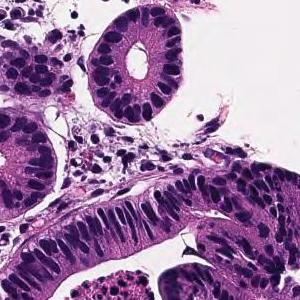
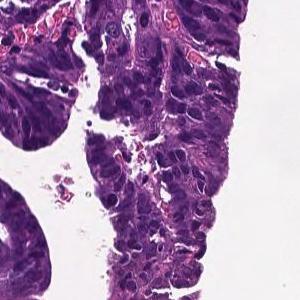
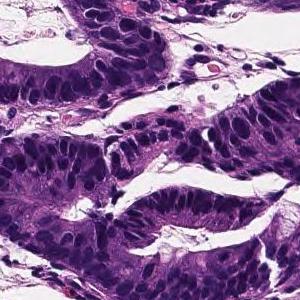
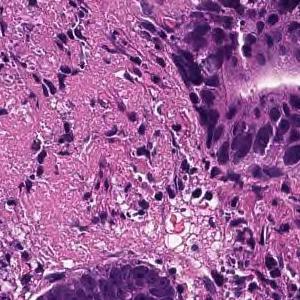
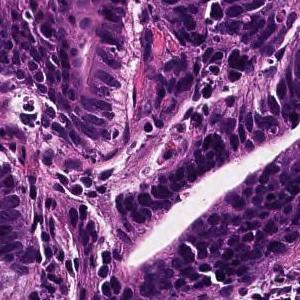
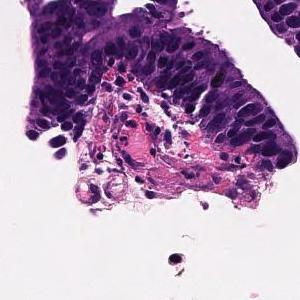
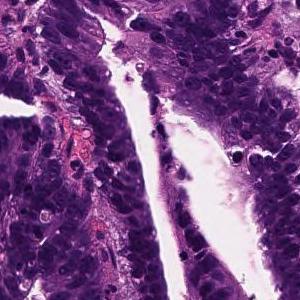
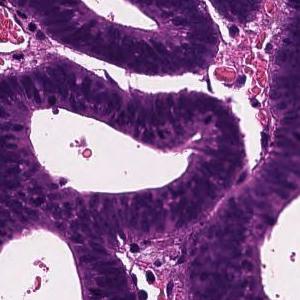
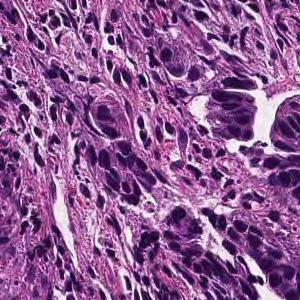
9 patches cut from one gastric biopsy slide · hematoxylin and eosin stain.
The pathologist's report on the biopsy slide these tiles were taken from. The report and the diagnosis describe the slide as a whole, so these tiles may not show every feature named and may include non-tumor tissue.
Tumor tissue consisting of large papillary structures is found in the superficial epithelium. Papillary adenocarcinoma.
